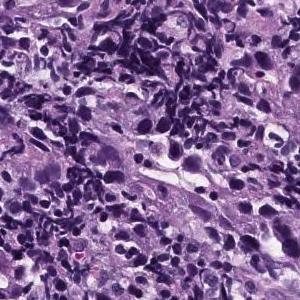
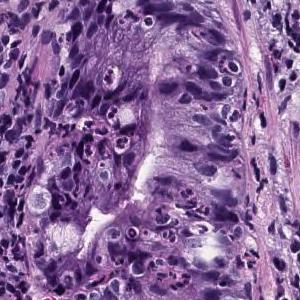
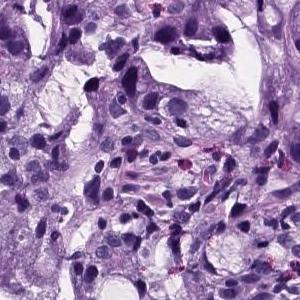
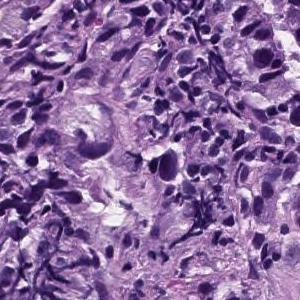
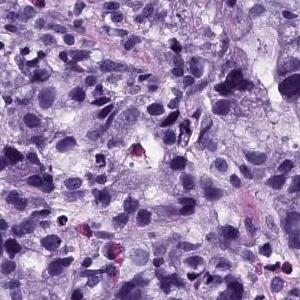
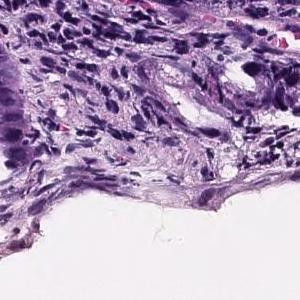
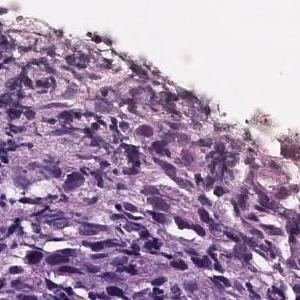
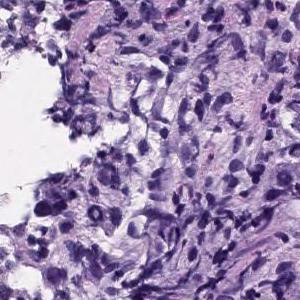
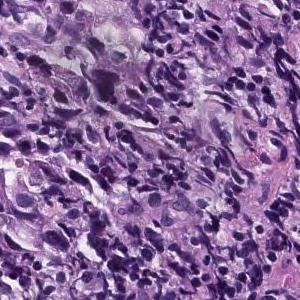
H&E; scanned at ×20; 9 tiles cut from one stomach biopsy slide; 300×300 px each.
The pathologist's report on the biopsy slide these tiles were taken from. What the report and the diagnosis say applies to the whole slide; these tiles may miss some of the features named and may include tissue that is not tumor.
Atypical epithelial cells infiltrating and proliferating while forming solid or cord-like fused glandular cavities of different sizes is observed. moderately differentiated tubular adenocarcinoma, poorly differentiated adenocarcinoma.
Tumor subtype: moderately to poorly differentiated adenocarcinoma.
